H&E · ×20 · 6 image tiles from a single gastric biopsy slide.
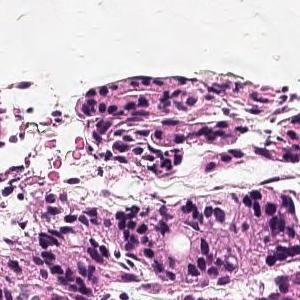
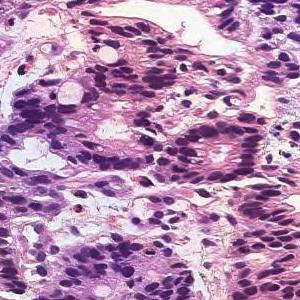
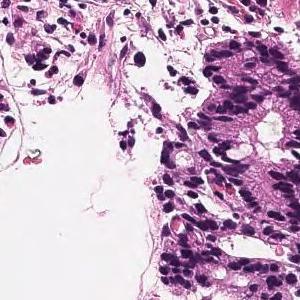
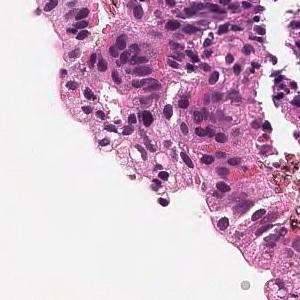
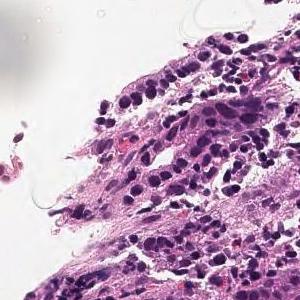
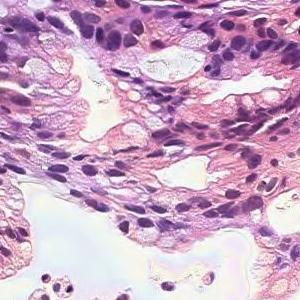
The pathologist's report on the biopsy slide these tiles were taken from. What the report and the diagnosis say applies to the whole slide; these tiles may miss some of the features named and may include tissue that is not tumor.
In the superficial epithelium, tumor tissue that invades by forming medium-sized to small, irregular ducts is observed. moderately differentiated tubular adenocarcinoma.
